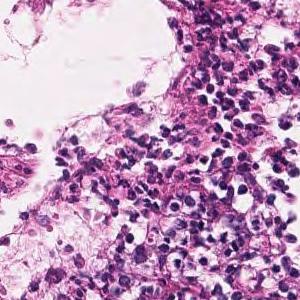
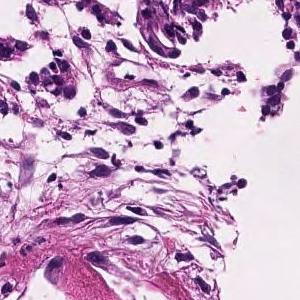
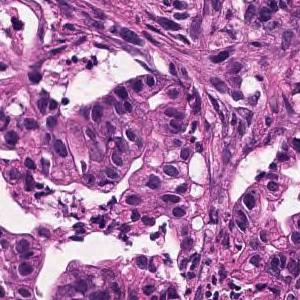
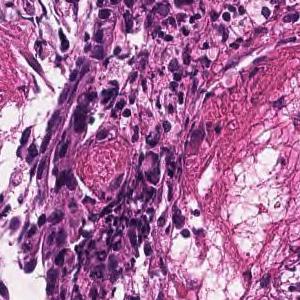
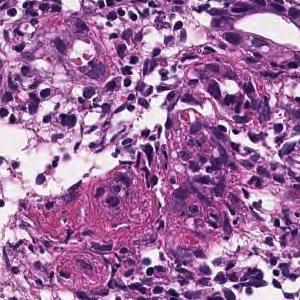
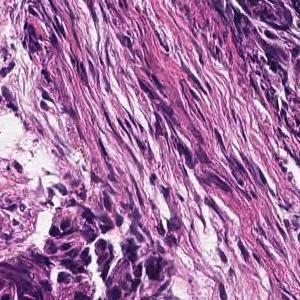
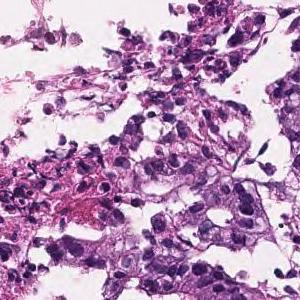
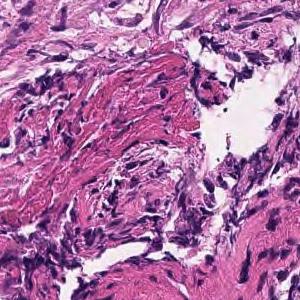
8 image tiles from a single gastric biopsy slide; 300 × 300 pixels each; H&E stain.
Pathology report for the slide these tiles were cut from. The report and the diagnosis cover the entire slide, so not every feature they name need be visible here, and some tissue shown may not be tumor.
In the superficial epithelium, medium to small, irregular gland ducts are formed, and in some cases, the gland ducts are fused to show solid alveolar lesions and infiltrating tumor tissue is observed. Moderately to poorly differentiated adenocarcinoma.
